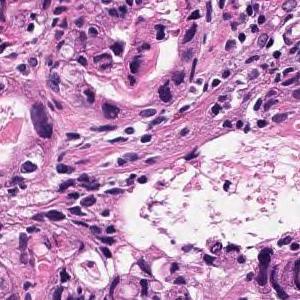
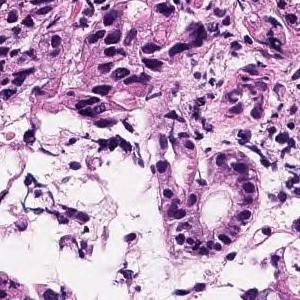
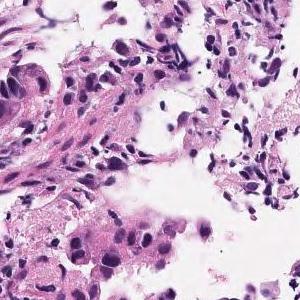
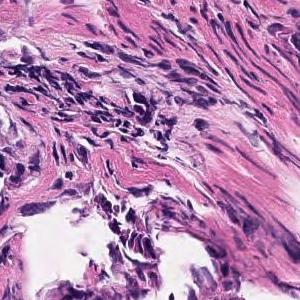
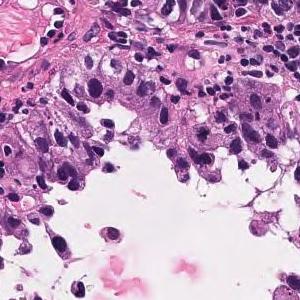
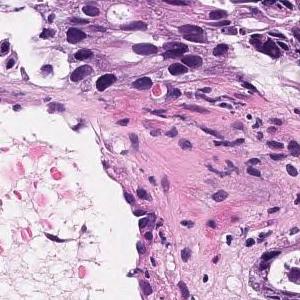
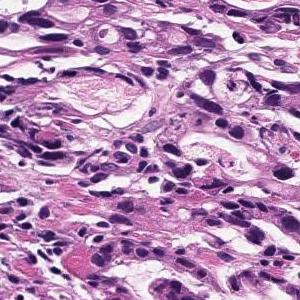
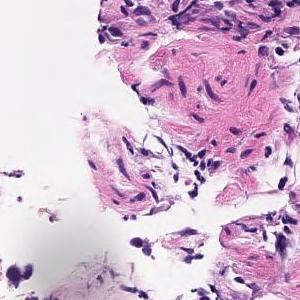
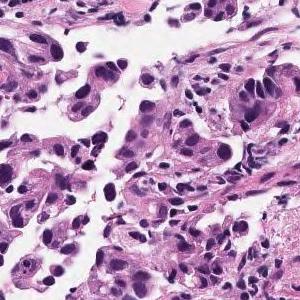
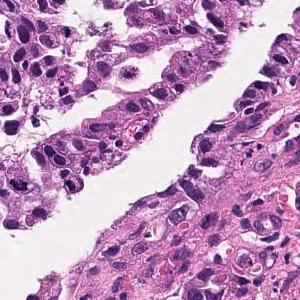
H&E, 10 patches cut from one gastric biopsy slide.
Report on the slide these tiles come from. The report and the diagnosis describe the slide as a whole, so these tiles may not show every feature named and may include non-tumor tissue.
In the superficial epithelium, tumor tissue that invades by forming medium-sized to small, irregular ducts is observed. Moderately differentiated adenocarcinoma.
Classified as moderately differentiated tubular adenocarcinoma.
